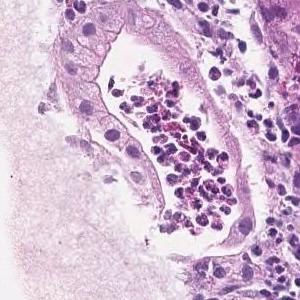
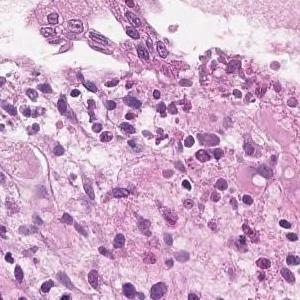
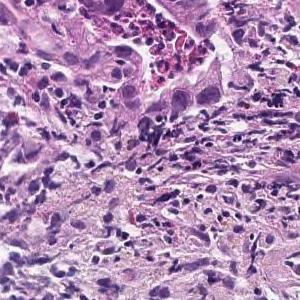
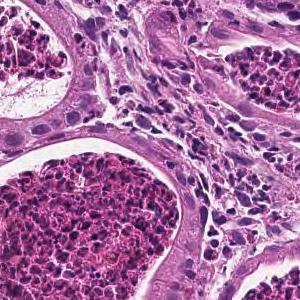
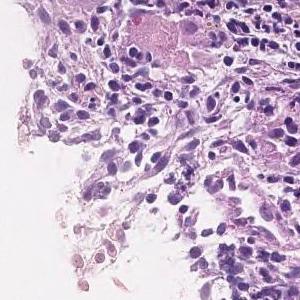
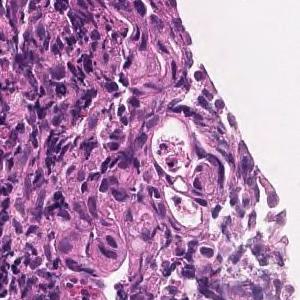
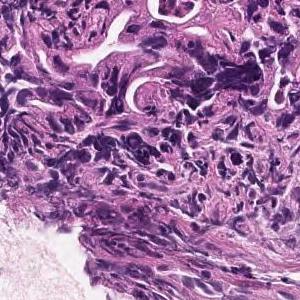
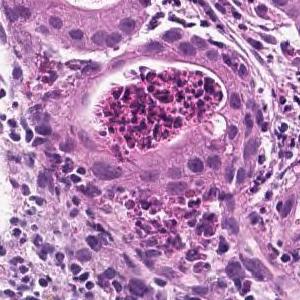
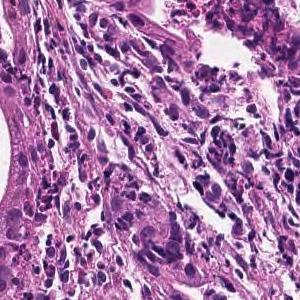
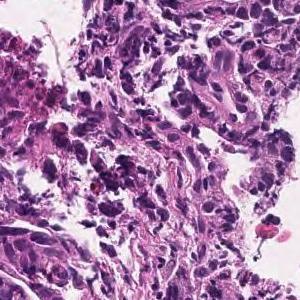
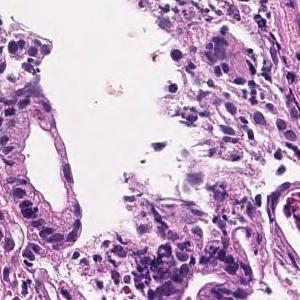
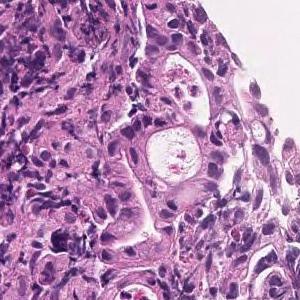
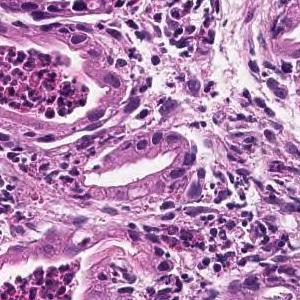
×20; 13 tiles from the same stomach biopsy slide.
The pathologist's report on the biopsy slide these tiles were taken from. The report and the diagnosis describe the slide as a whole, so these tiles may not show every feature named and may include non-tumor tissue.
In the superficial epithelium, tumor tissue that invades by forming medium-sized to small, irregular ducts is observed. moderately differentiated tubular adenocarcinoma.
